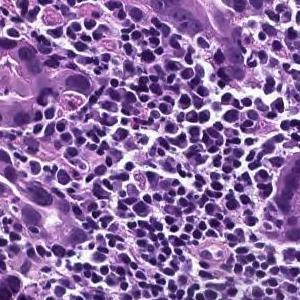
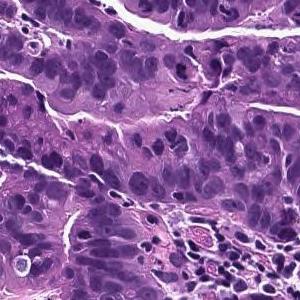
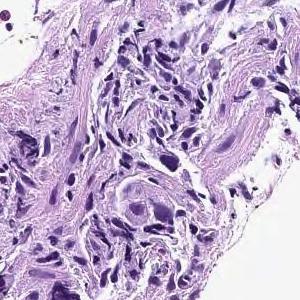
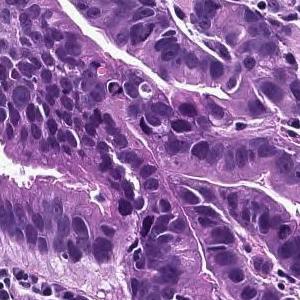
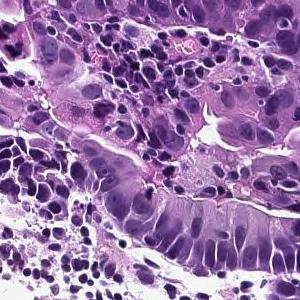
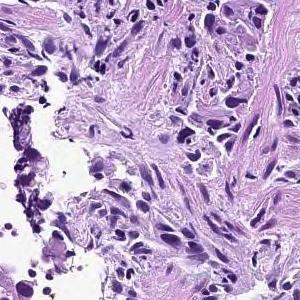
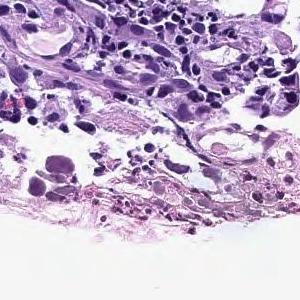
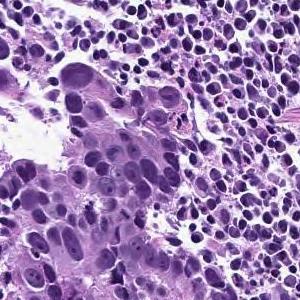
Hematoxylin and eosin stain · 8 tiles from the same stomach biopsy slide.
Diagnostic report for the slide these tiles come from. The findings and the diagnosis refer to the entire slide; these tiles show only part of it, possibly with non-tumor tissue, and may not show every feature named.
In the superficial epithelium, tumor tissue that invades by forming medium-sized to small, irregular ducts is observed. moderately differentiated tubular adenocarcinoma.
